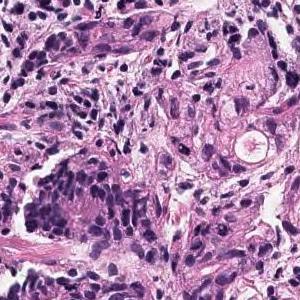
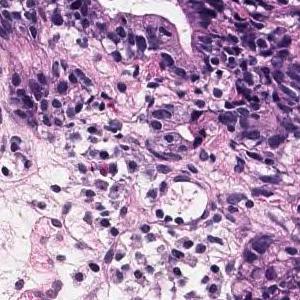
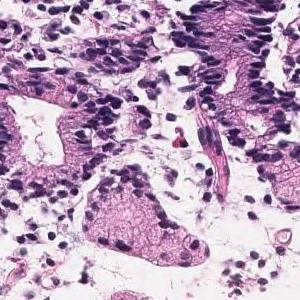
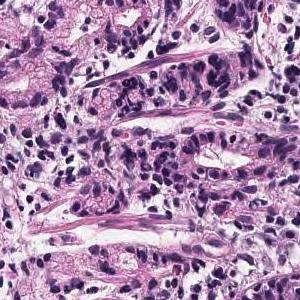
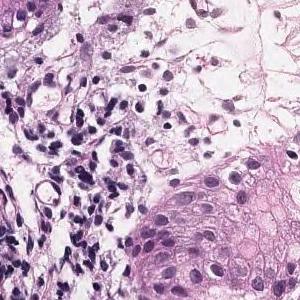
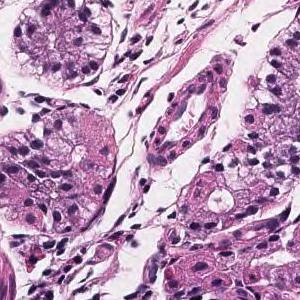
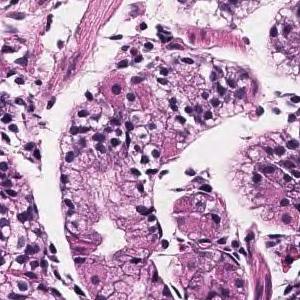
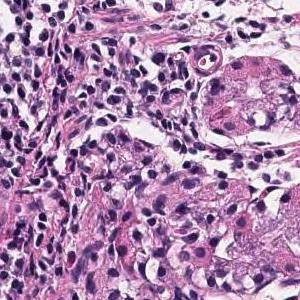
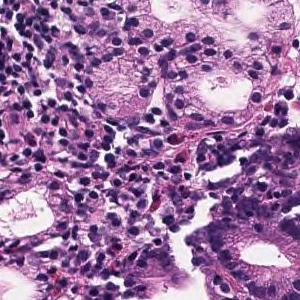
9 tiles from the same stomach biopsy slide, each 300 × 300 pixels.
Pathology report for the slide these tiles were cut from. Both the report and the diagnosis are for the whole slide: these tiles need not show every feature named, and some of the tissue shown may not be tumor.
Tumor tissue that grows and grows is observed, showing a medium-sized round or irregular duct. moderately differentiated tubular adenocarcinoma
